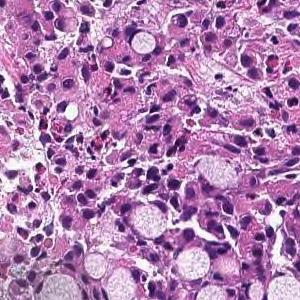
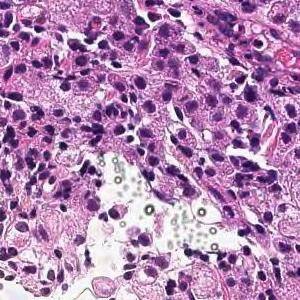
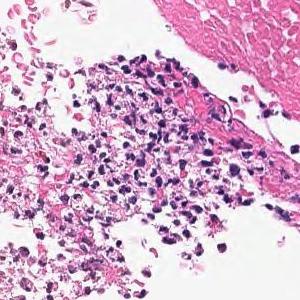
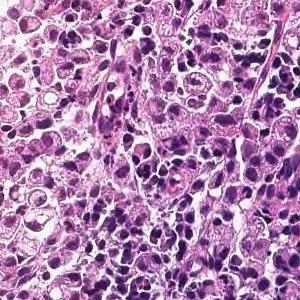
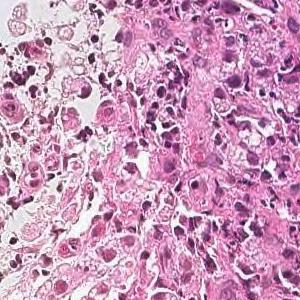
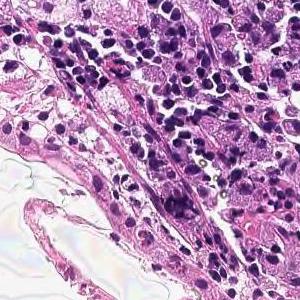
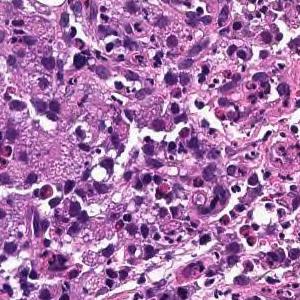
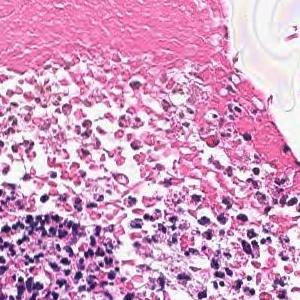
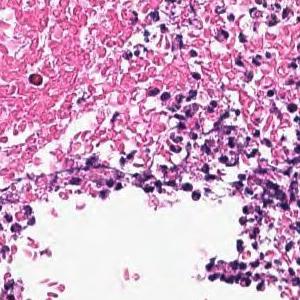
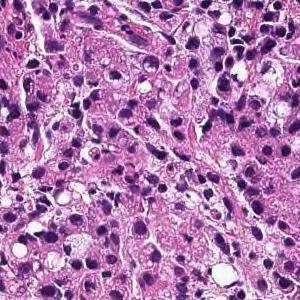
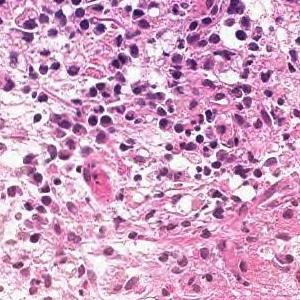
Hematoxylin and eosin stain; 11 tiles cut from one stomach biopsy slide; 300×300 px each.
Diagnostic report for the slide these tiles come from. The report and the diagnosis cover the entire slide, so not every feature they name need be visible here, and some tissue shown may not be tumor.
Tumor tissue consisting of diffusely infiltrated large atypical epithelial cells or signet ring atypical cells is observed in the superficial epithelium. Poorly differentiated adenocarcinoma, solid-type
Classified as poorly differentiated adenocarcinoma, solid type (Japanese Classification of Gastric Carcinoma). The WHO 2019 equivalent is tubular adenocarcinoma, poorly differentiated.
